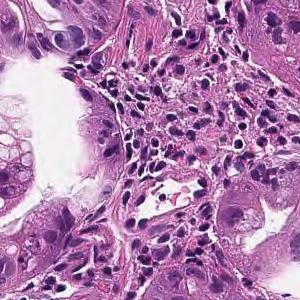
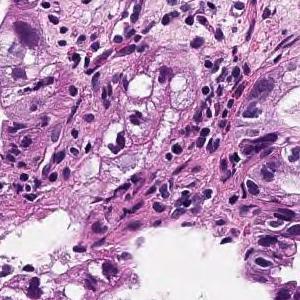
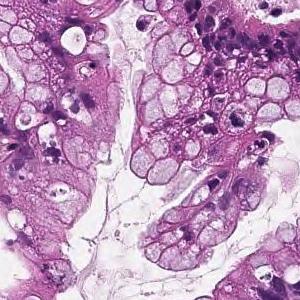
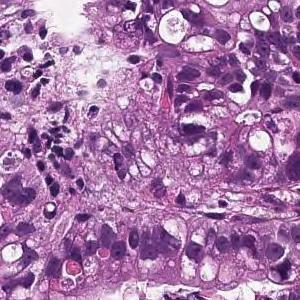
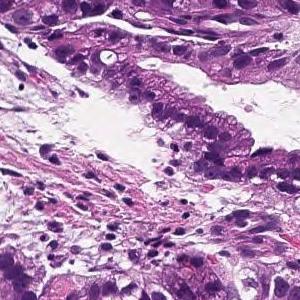
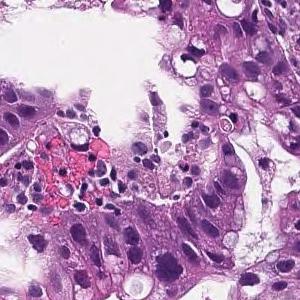
6 tiles from the same stomach biopsy slide · 300 × 300 pixels each · H&E.
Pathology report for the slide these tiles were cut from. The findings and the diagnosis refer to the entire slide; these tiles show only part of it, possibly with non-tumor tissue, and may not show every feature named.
From the superficial epithelium to the muscularis mucosae, tumor tissue consisting of medium-sized and irregular glandular ducts infiltrating is observed. Well differentiated tubular adenocarcinoma
